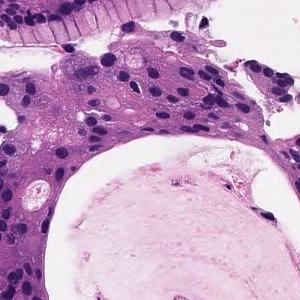
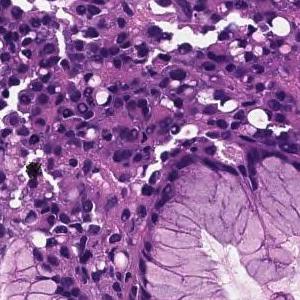
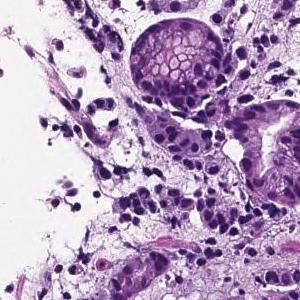
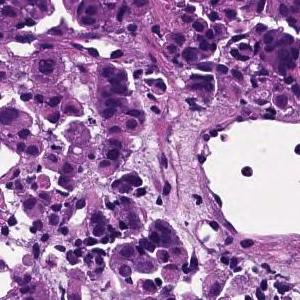
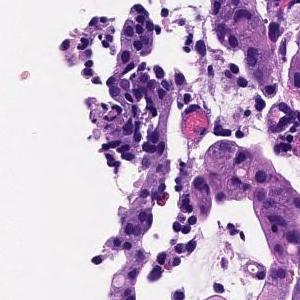
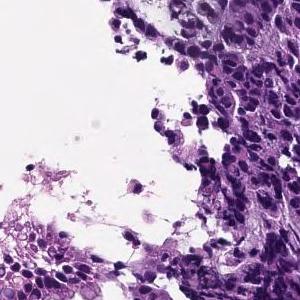
20× magnification · hematoxylin and eosin stain · 6 image tiles from a single gastric biopsy slide.
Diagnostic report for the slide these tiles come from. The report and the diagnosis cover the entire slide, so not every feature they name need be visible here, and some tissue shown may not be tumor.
The superficial epithelium shows a large sheet-like shape, and some tumor tissue infiltrates with small irregular ducts. Poorly differentiated adenocarcinoma, solid-type
Classified as poorly differentiated adenocarcinoma, solid type. This name comes from the Japanese Classification of Gastric Carcinoma; the WHO 2019 classification calls it tubular adenocarcinoma, poorly differentiated.
